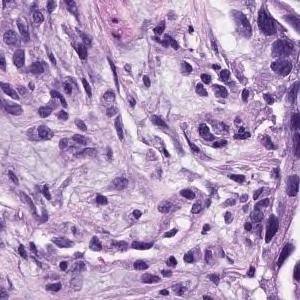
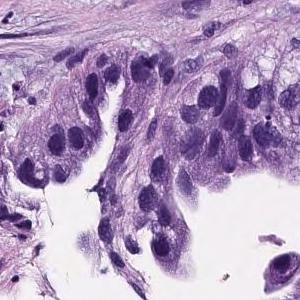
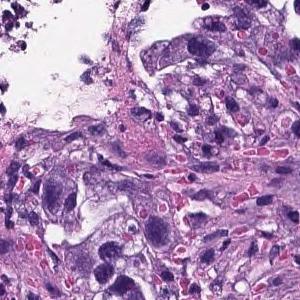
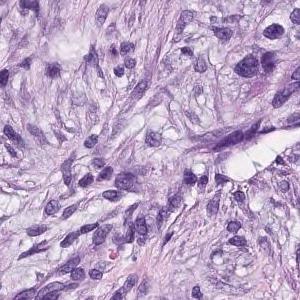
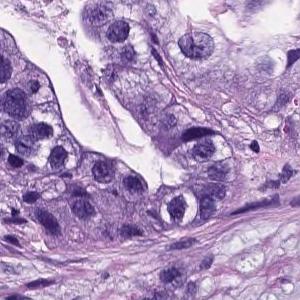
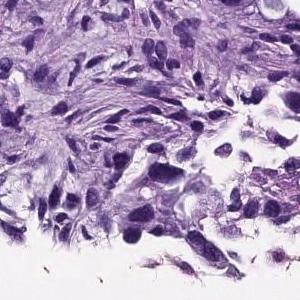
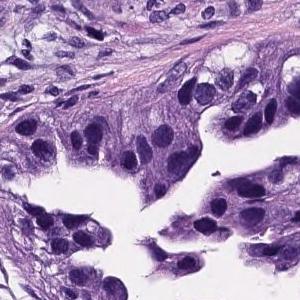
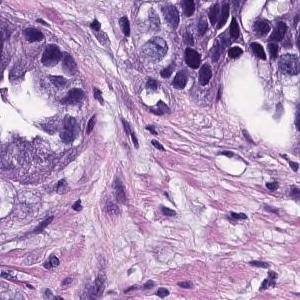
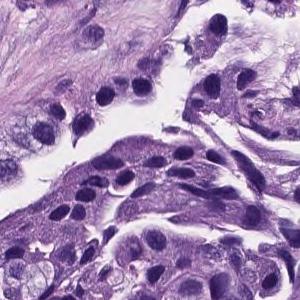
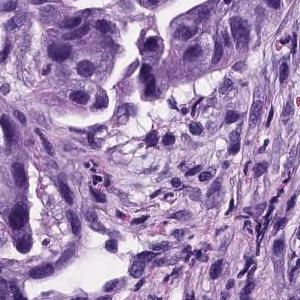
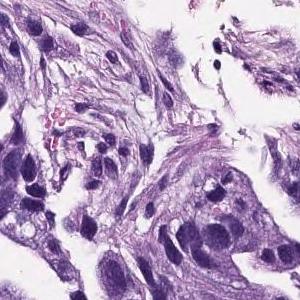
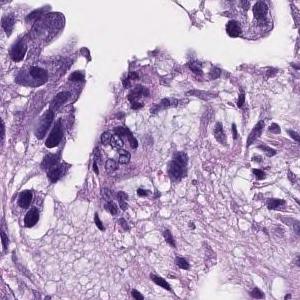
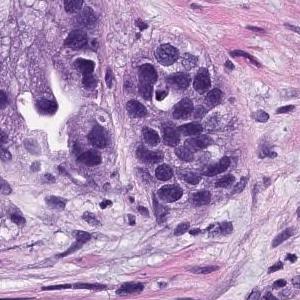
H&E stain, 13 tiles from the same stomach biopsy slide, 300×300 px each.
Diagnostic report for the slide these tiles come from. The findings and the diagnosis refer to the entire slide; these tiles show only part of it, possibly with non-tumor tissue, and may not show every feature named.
gastric mucosal tissue with atypical glandular proliferation arranged in tubules and acini. The tumor cells showed hyperchromatic nuclei, high N/C ratio and loss of polarity. Tubular adenocarcinoma of stomach, moderately differentiated.
Histological subtype: Moderately differentiated tubular adenocarcinoma.
